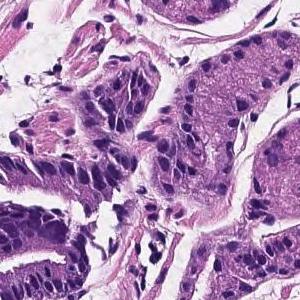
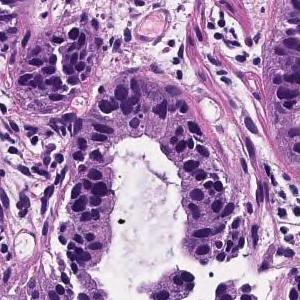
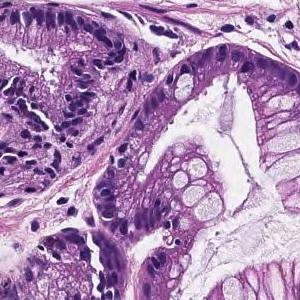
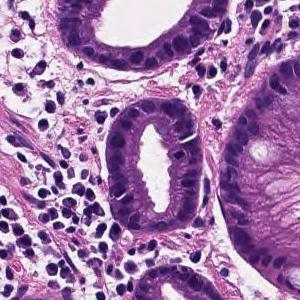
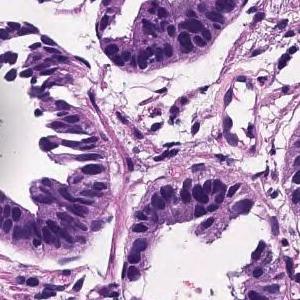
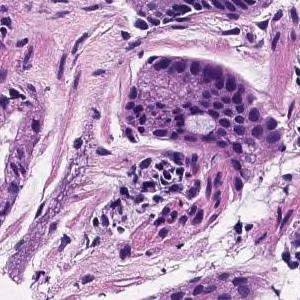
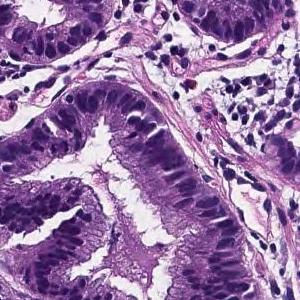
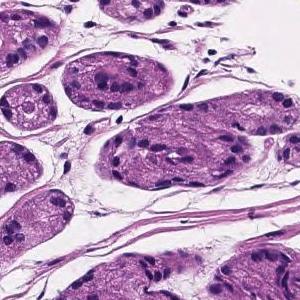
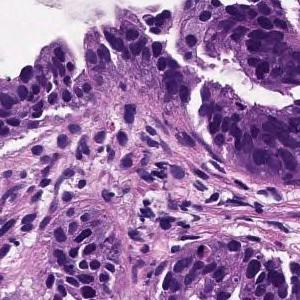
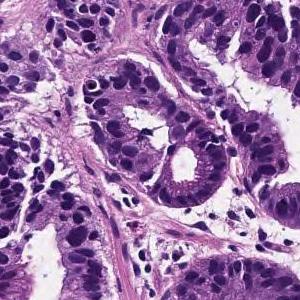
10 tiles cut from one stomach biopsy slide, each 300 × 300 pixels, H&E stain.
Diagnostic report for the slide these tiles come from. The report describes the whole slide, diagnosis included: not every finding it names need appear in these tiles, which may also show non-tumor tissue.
Tumor cells are large, highly columnar, large club-shaped nuclei, and are associated with chromatin aggregation. Papillary adenocarcinoma.
